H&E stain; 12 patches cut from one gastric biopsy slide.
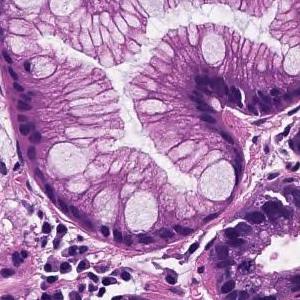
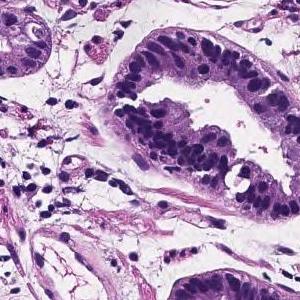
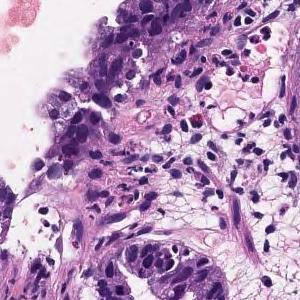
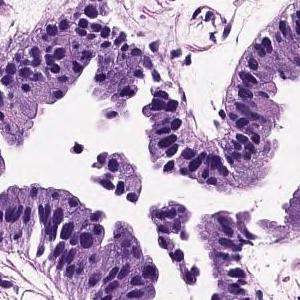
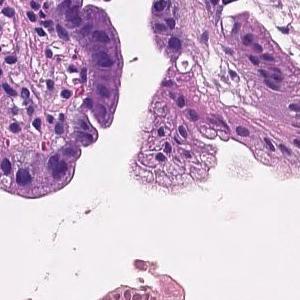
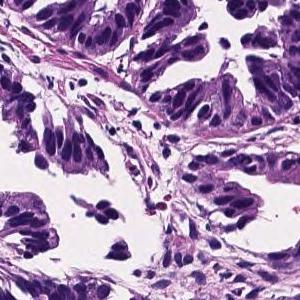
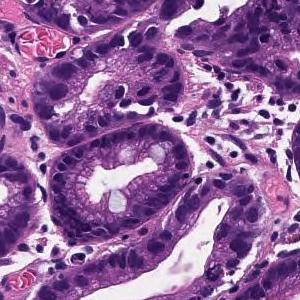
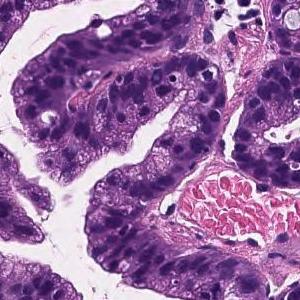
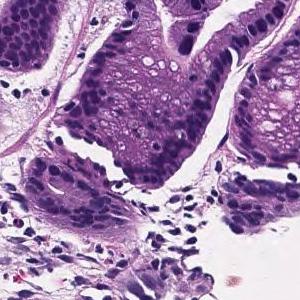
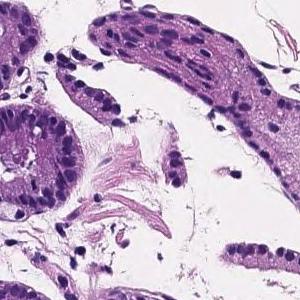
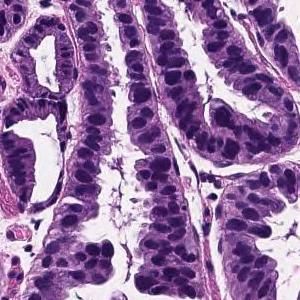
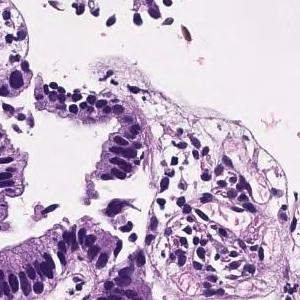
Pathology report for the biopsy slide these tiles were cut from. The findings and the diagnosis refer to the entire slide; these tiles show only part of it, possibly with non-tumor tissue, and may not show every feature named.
Tumor cells are large, highly columnar, large club-shaped nuclei, and are associated with chromatin aggregation. Papillary adenocarcinoma.
